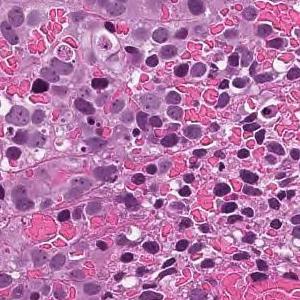
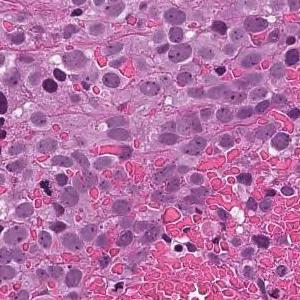
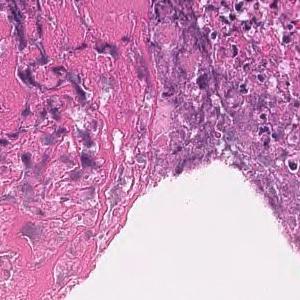
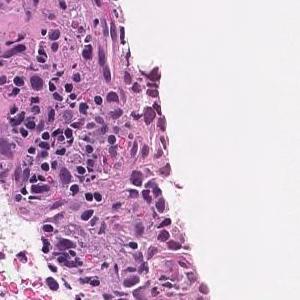
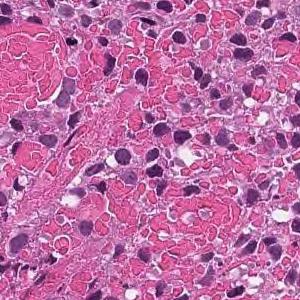
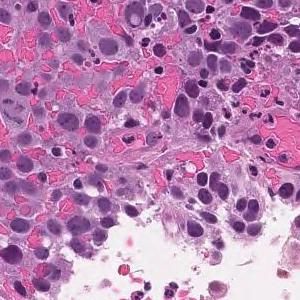
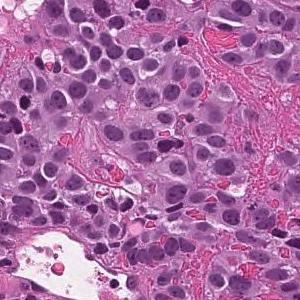
7 tiles from the same stomach biopsy slide · 300 × 300 pixels each · 20× magnification · H&E.
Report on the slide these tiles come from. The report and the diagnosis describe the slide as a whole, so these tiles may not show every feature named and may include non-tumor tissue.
The superficial epithelium shows a large sheet-like shape, and some tumor tissue infiltrates with small irregular ducts. Poorly differentiated adenocarcinoma, solid-type
Histological subtype: Poorly differentiated adenocarcinoma, solid type (Japanese Classification of Gastric Carcinoma). The WHO 2019 equivalent is tubular adenocarcinoma, poorly differentiated.
